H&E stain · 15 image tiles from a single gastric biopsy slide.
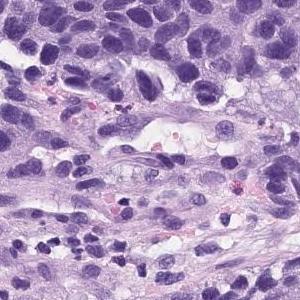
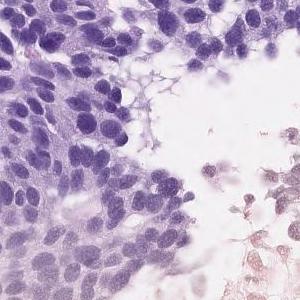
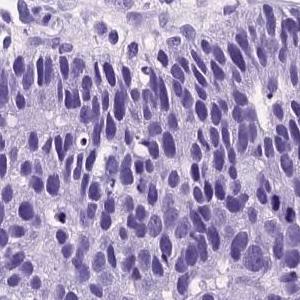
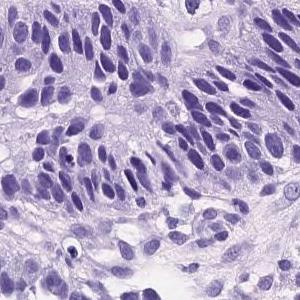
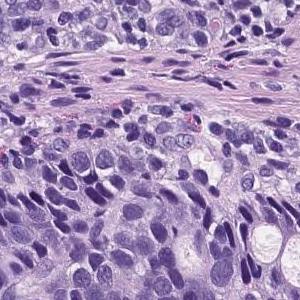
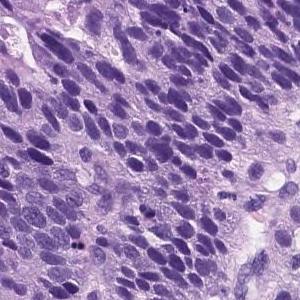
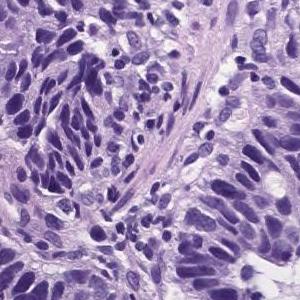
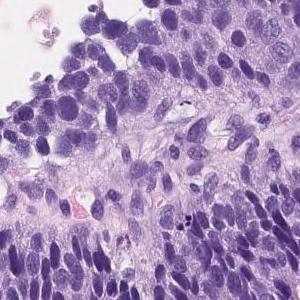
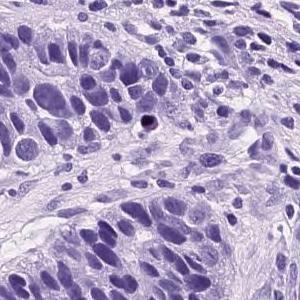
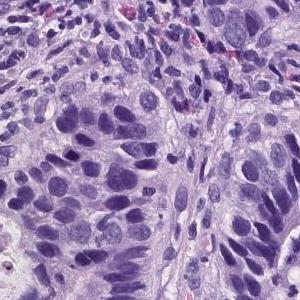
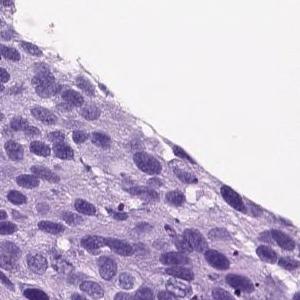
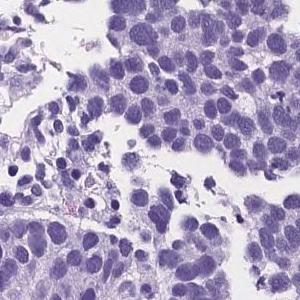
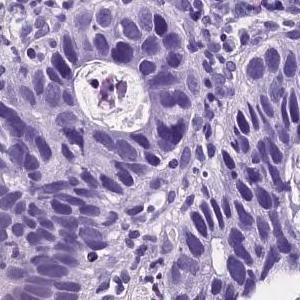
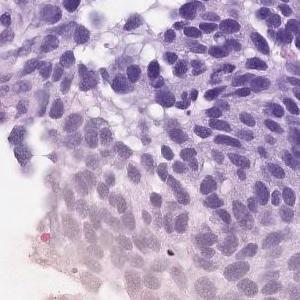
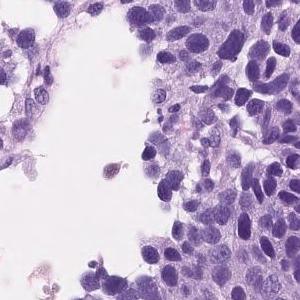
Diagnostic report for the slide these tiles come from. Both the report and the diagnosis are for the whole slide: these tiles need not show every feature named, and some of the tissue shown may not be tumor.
Atypical cells with atypical nuclei forming small irregular atypical ducts and growing in a conformative manner. moderately differentiated tubular adenocarcinoma
The dataset labels this slide moderately to poorly differentiated adenocarcinoma.
